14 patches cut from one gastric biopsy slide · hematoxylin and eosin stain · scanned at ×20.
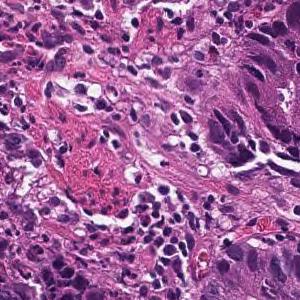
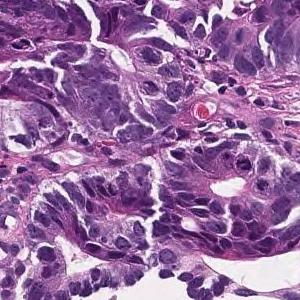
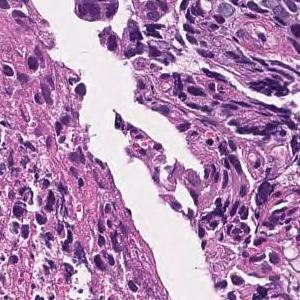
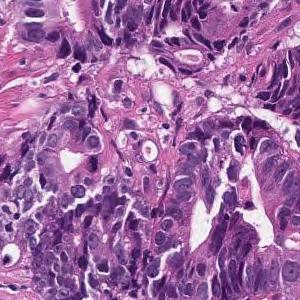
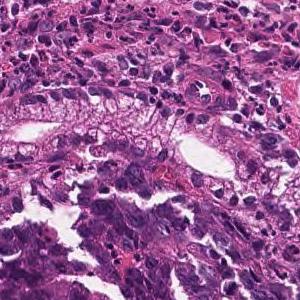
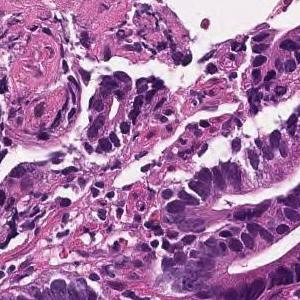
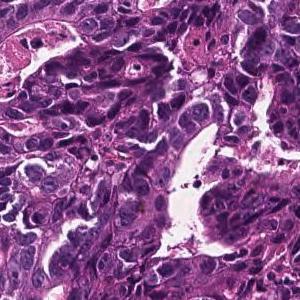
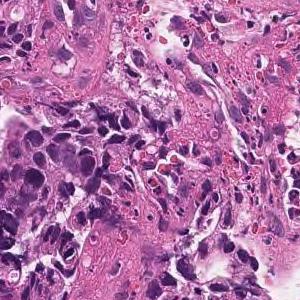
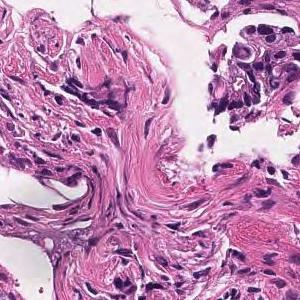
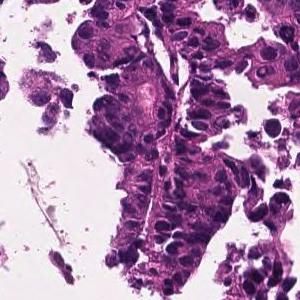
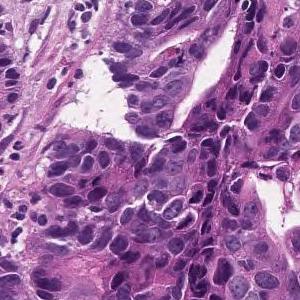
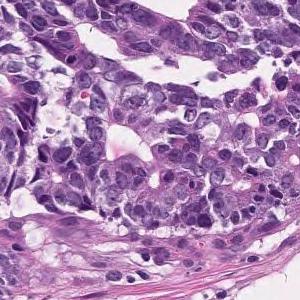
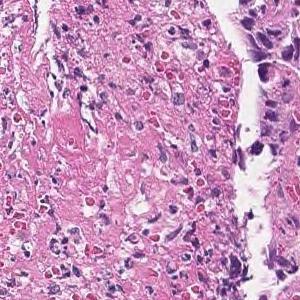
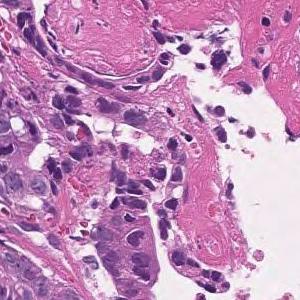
Report on the slide these tiles come from. Both the report and the diagnosis are for the whole slide: these tiles need not show every feature named, and some of the tissue shown may not be tumor.
In the superficial epithelium, tumor tissue that invades by forming medium-sized to small, irregular ducts is observed. moderately differentiated tubular adenocarcinoma.
